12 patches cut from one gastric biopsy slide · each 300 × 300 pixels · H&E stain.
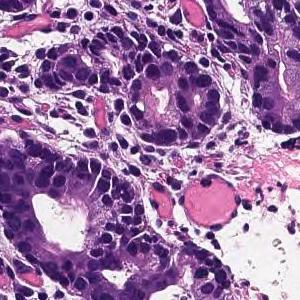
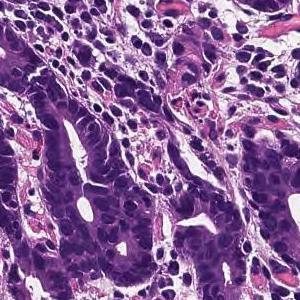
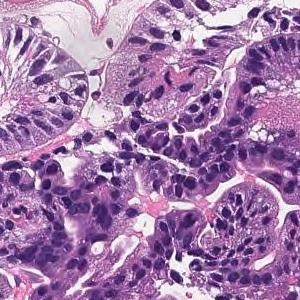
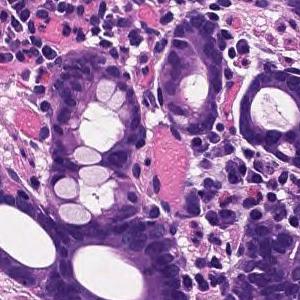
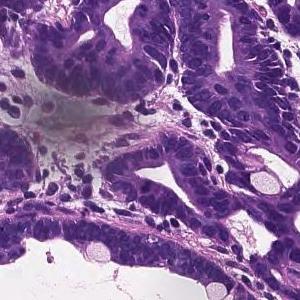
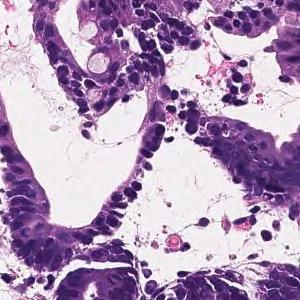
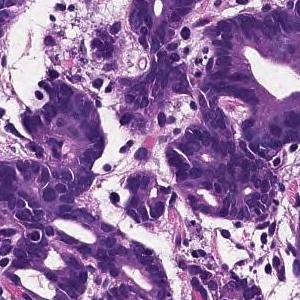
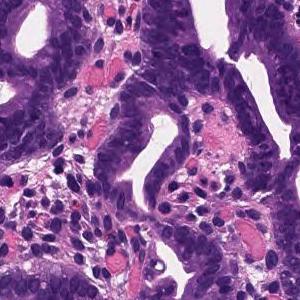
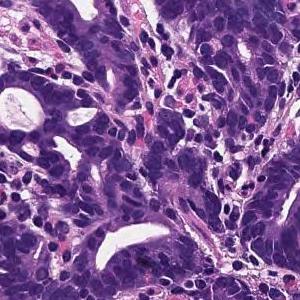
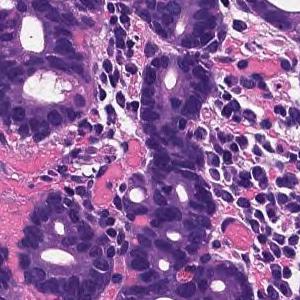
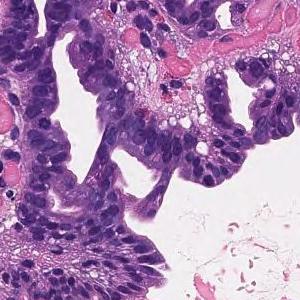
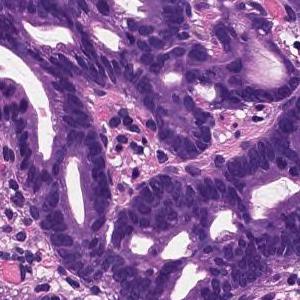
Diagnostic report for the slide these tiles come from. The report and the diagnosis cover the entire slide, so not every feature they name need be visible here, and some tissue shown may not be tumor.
On the superficial epithelium, tumor tissue is found in which medium-sized irregular gland ducts fuse with each other and infiltrate. moderately differentiated tubular adenocarcinoma
